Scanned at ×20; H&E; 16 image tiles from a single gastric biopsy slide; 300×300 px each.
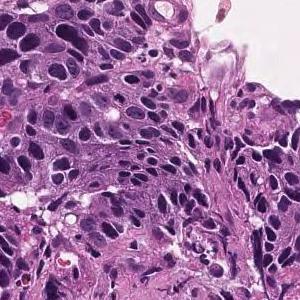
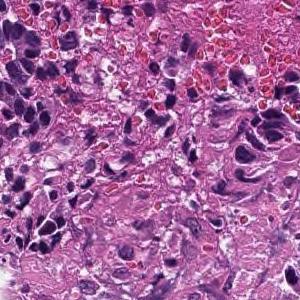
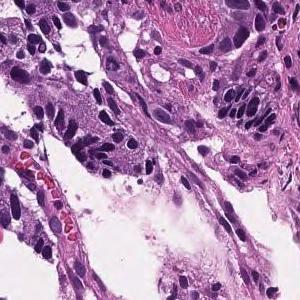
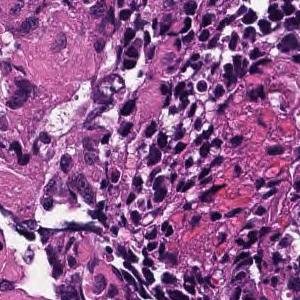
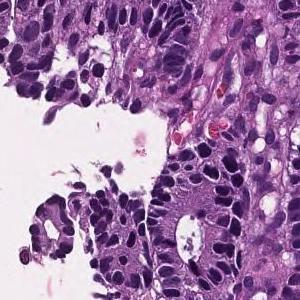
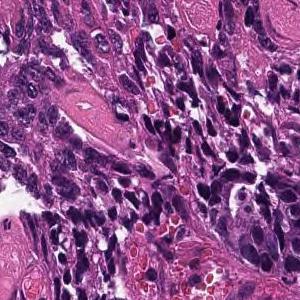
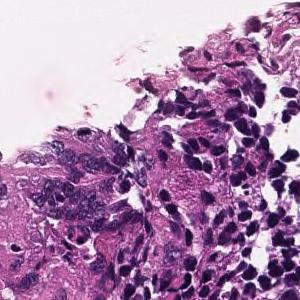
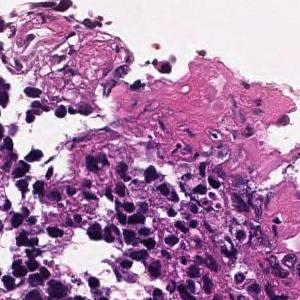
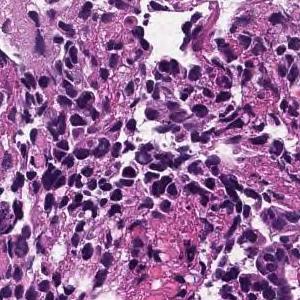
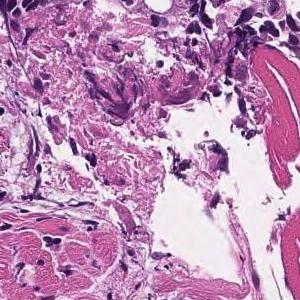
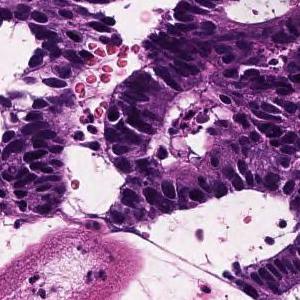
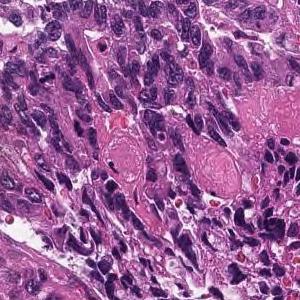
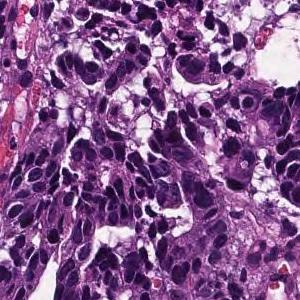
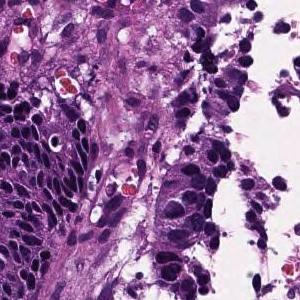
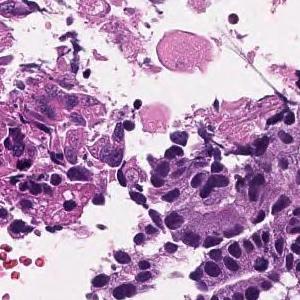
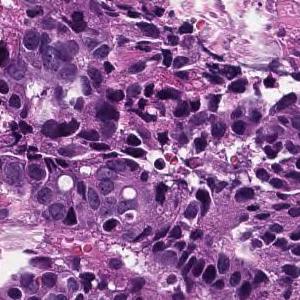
Pathology report for the biopsy slide these tiles were cut from. The report describes the whole slide, diagnosis included: not every finding it names need appear in these tiles, which may also show non-tumor tissue.
Tumor tissue consisting of large, irregular glandular ducts, centered on the submucosa, infiltrated by fusion with each other is observed. Well to moderately differentiated tubular adenocarcinoma (well differentiated tubular adenocarcinoma-moderately differentiated tubular adenocarcinoma)
Tumor subtype: well to moderately differentiated tubular adenocarcinoma.
